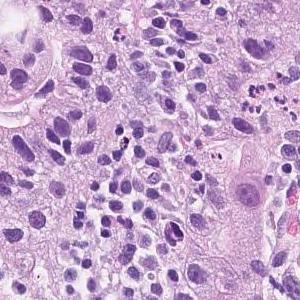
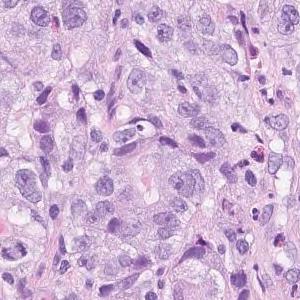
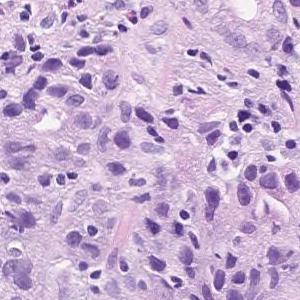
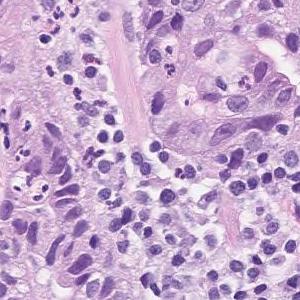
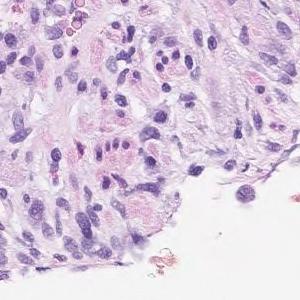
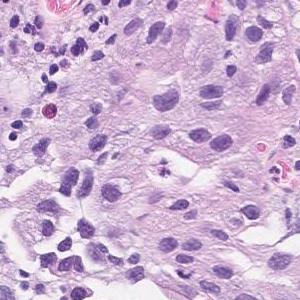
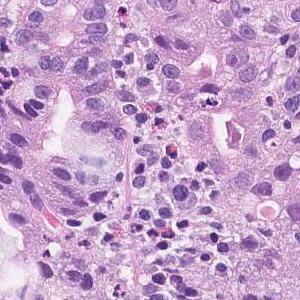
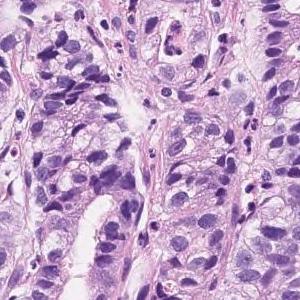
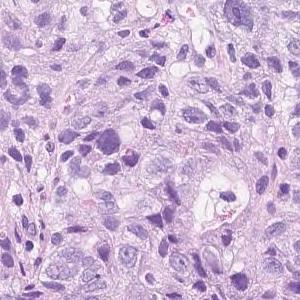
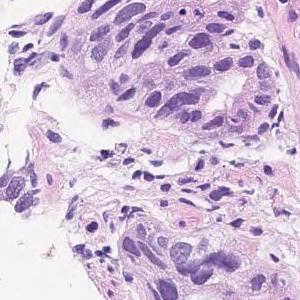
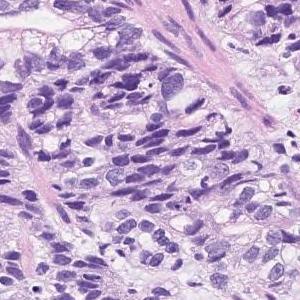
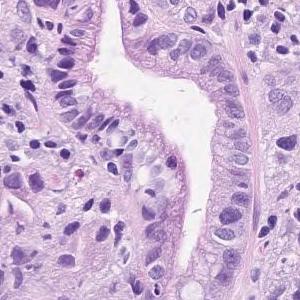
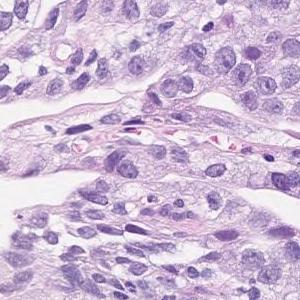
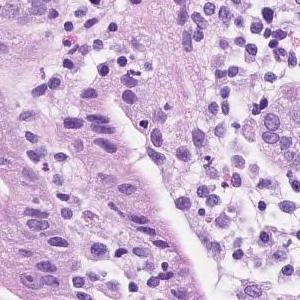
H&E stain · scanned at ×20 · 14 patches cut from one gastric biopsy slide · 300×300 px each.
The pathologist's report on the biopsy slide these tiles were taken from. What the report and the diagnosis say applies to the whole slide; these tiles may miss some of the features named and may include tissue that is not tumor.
In the superficial epithelium, tumor tissue that invades by forming medium-sized to small, irregular ducts is observed. Moderately to poorly differentiated adenocarcinoma
